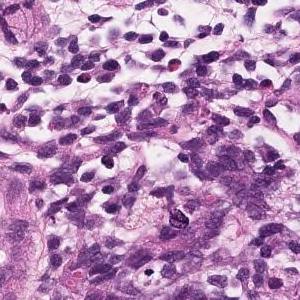
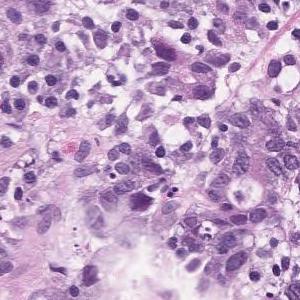
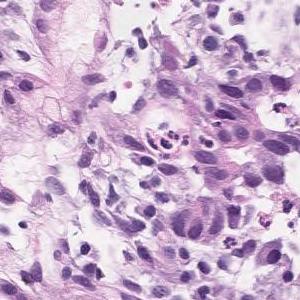
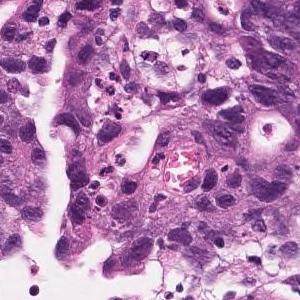
H&E stain; ×20; 4 tiles cut from one stomach biopsy slide.
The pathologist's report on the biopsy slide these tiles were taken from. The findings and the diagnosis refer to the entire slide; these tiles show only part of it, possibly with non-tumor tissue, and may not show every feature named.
It is mixed with the existing pit epithelium and pyloric gland epithelium, and irregularly fused and branched atypical ducts are observed. Moderately differentiated tubular adenocarcinoma (well differentiated tubular adenocarcinoma)
Labeled in the dataset as moderately differentiated tubular adenocarcinoma.
